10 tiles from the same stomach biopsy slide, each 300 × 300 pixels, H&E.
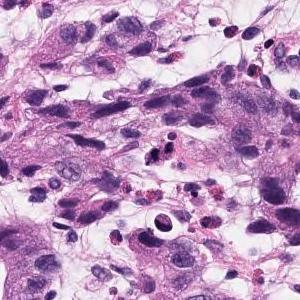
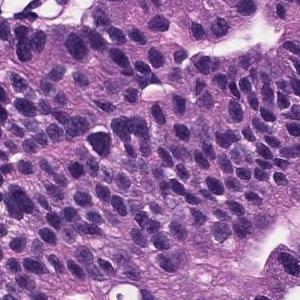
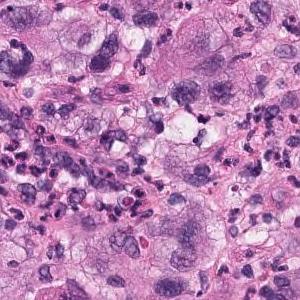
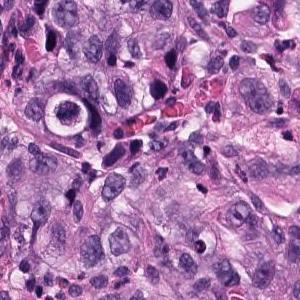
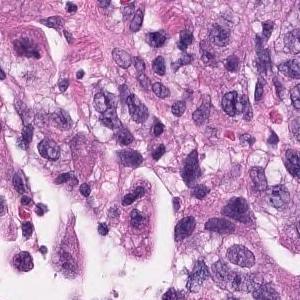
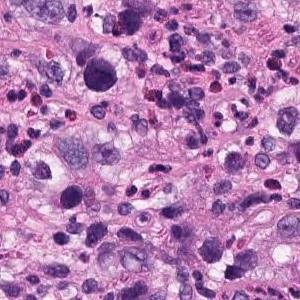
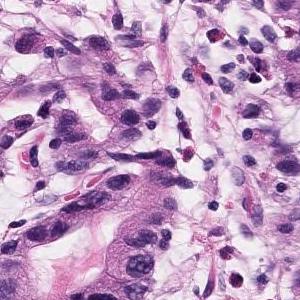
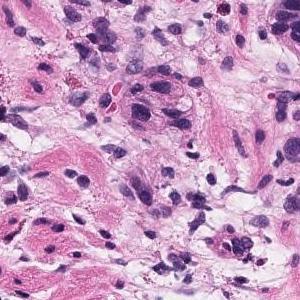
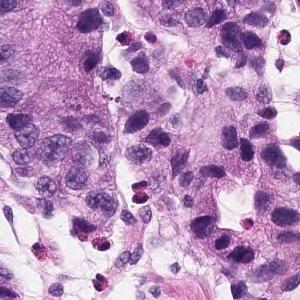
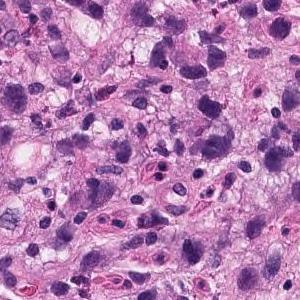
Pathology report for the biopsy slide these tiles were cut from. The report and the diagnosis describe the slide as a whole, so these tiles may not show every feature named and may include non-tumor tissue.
Atypical l cells with atypical nuclei forming diffuse or small irregular atypical ducts and growing. Moderately to poorly differentiated adenocarcinoma (poorly differentiated adenocarcinoma, solid type, moderately differentiated tubular adenocarcinoma)
Histological subtype: Moderately to poorly differentiated adenocarcinoma.
"Solid type" is a category of the Japanese Classification of Gastric Carcinoma; in the WHO 2019 classification it is tubular adenocarcinoma, poorly differentiated.
